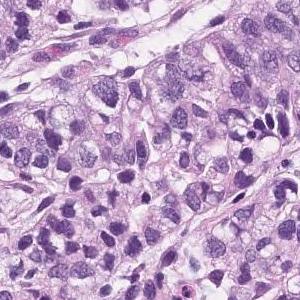
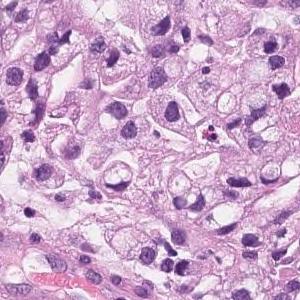
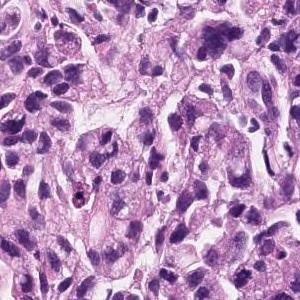
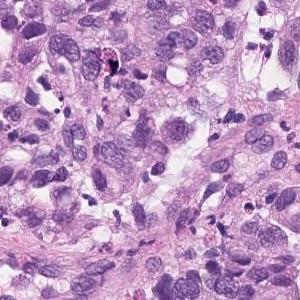
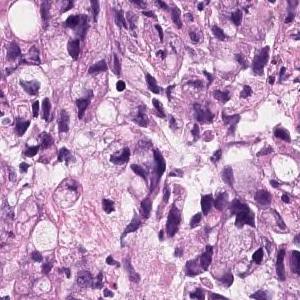
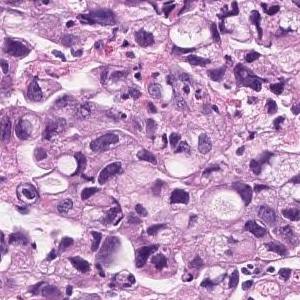
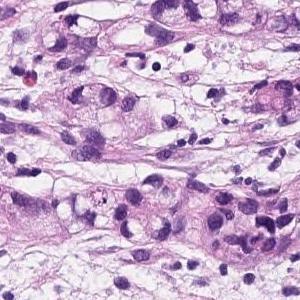
Hematoxylin and eosin stain · ×20 · 7 image tiles from a single gastric biopsy slide.
The pathologist's report on the biopsy slide these tiles were taken from. The report and the diagnosis cover the entire slide, so not every feature they name need be visible here, and some tissue shown may not be tumor.
Group 5, Adenocarcinoma. Poorly differentiated adenocarcinoma, non-solid type
The non-solid type named here is a Japanese Classification of Gastric Carcinoma category.
